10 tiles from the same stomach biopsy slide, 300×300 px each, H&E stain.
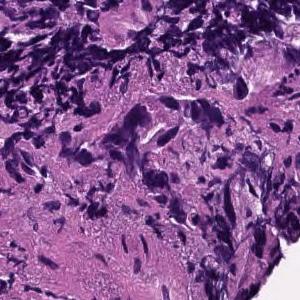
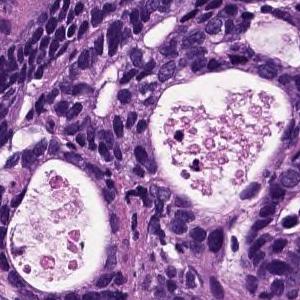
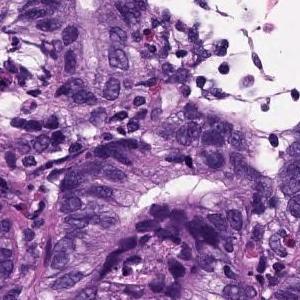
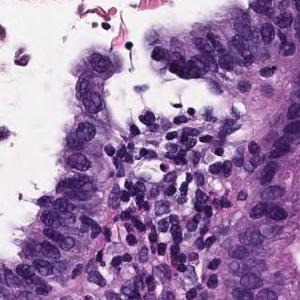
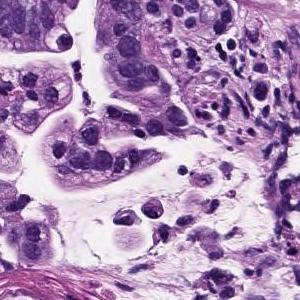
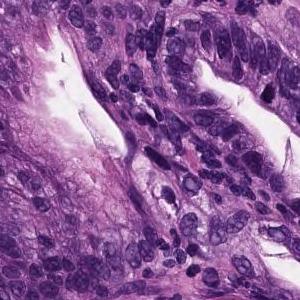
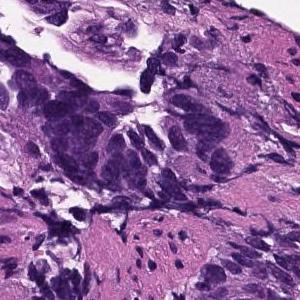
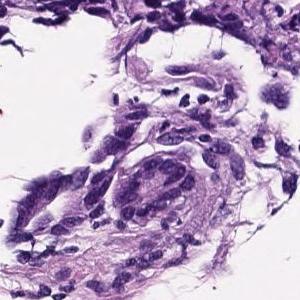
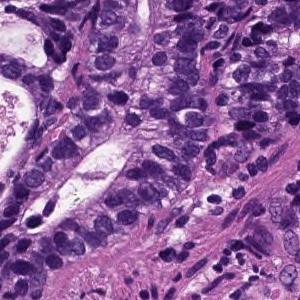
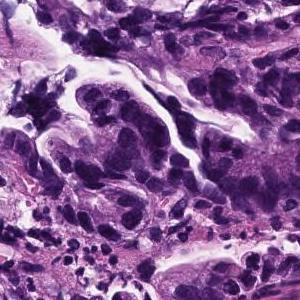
Pathology report for the biopsy slide these tiles were cut from. The report describes the whole slide, diagnosis included: not every finding it names need appear in these tiles, which may also show non-tumor tissue.
In the superficial epithelium, tumor tissue that invades by forming medium-sized to small, irregular ducts is observed. Moderately differentiated adenocarcinoma.
Histologic type: Moderately differentiated tubular adenocarcinoma.
